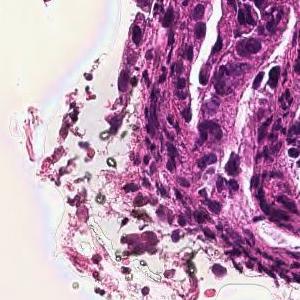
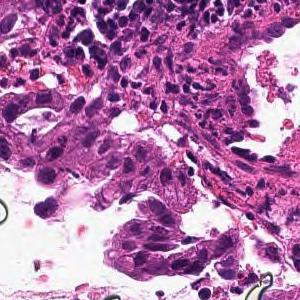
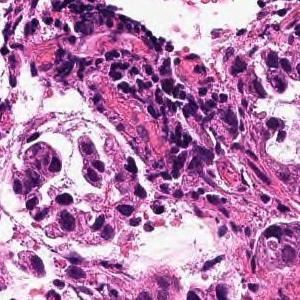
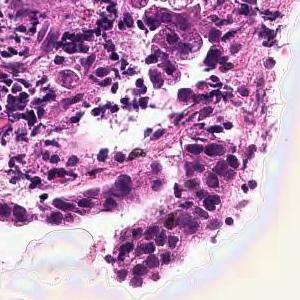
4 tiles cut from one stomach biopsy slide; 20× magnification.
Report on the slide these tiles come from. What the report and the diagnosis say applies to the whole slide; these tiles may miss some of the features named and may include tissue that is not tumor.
From the superficial epithelium to the muscularis mucosae, tumor tissue infiltrating by forming medium-sized irregular gland ducts is observed. Well differentiated tubular adenocarcinoma
